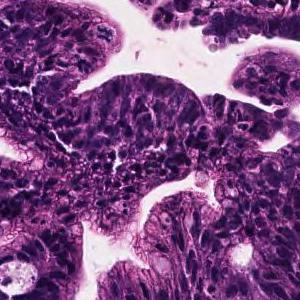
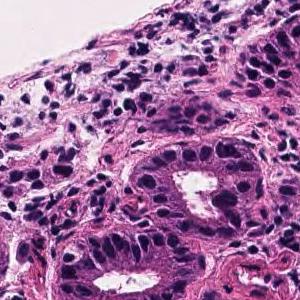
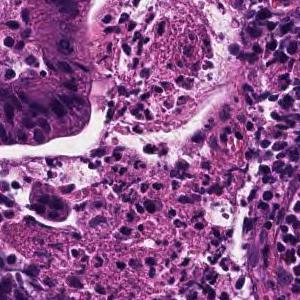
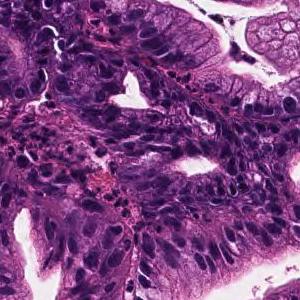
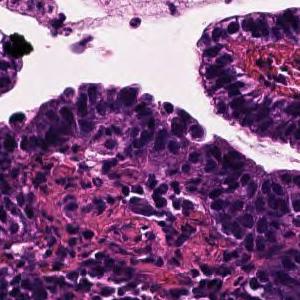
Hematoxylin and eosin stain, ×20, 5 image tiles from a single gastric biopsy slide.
Report on the slide these tiles come from. The report and the diagnosis describe the slide as a whole, so these tiles may not show every feature named and may include non-tumor tissue.
Tumor cells are large, highly columnar, large club-shaped nuclei, and are associated with chromatin aggregation. Papillary adenocarcinoma.
